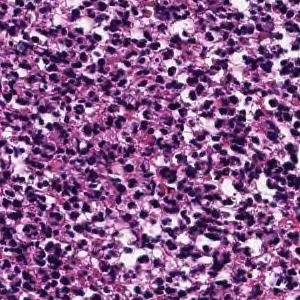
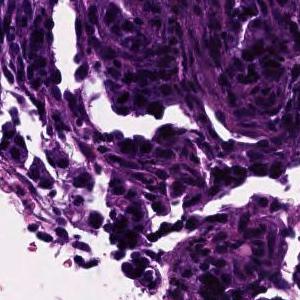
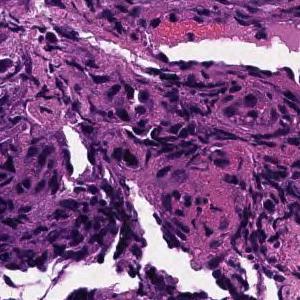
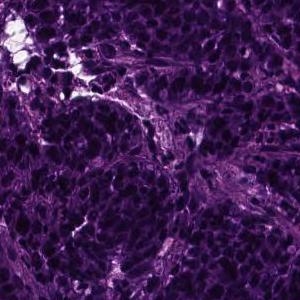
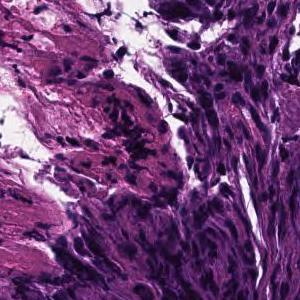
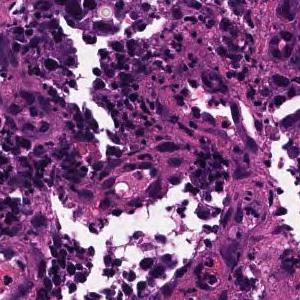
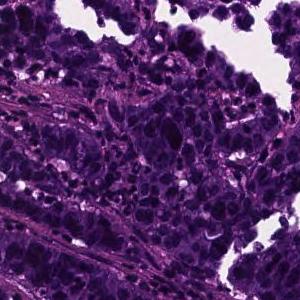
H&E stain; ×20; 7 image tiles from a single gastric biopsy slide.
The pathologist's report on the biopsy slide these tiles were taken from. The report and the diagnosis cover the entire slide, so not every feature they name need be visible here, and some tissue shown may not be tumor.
In the superficial epithelium, tumor tissue that invades by forming medium-sized to small, irregular ducts is observed. moderately differentiated tubular adenocarcinoma.
